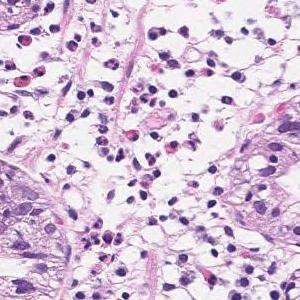
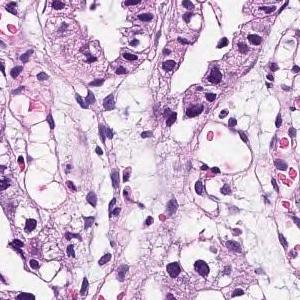
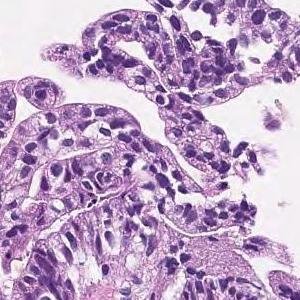
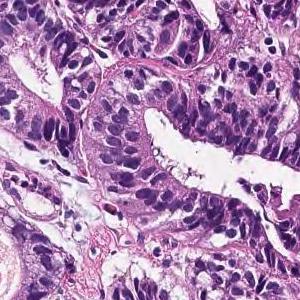
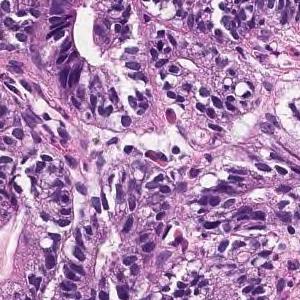
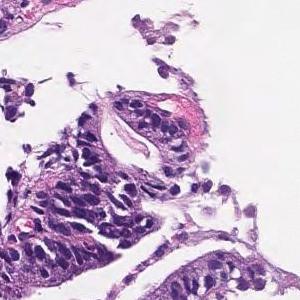
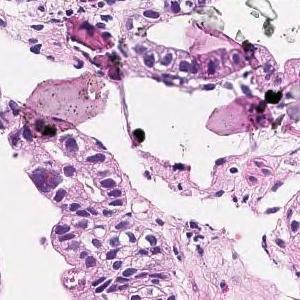
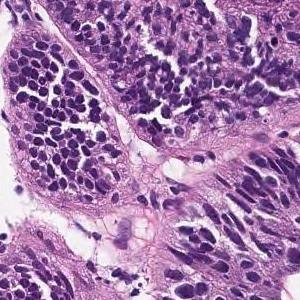
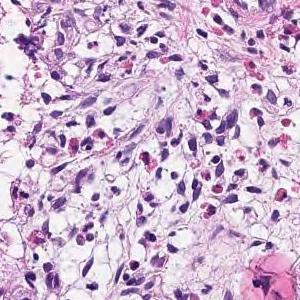
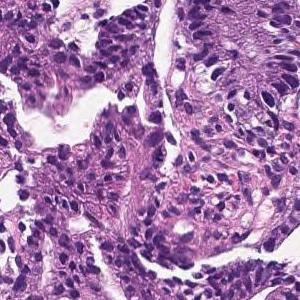
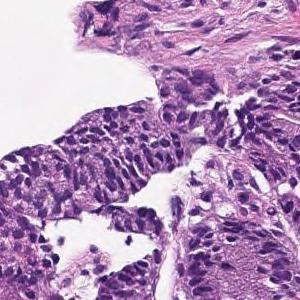
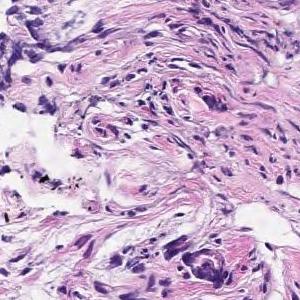
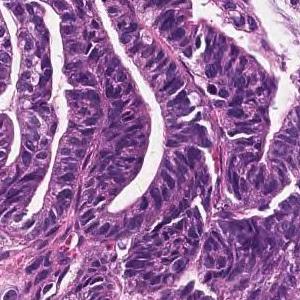
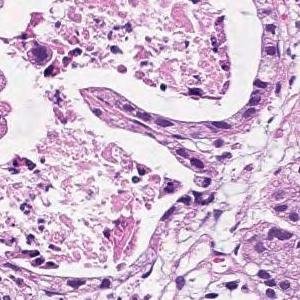
H&E · ×20 · 14 tiles from the same stomach biopsy slide · each 300 × 300 pixels.
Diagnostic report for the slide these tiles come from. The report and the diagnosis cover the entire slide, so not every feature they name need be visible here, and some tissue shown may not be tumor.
In the superficial epithelium, tumor tissue that invades by forming medium-sized to small, irregular ducts is observed. Moderately differentiated adenocarcinoma.
Classified as moderately differentiated tubular adenocarcinoma.
